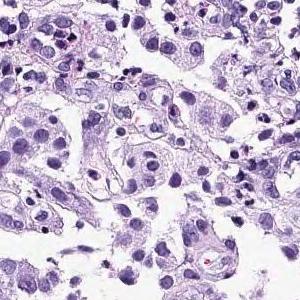
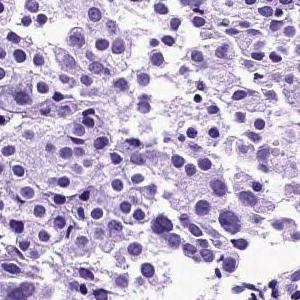
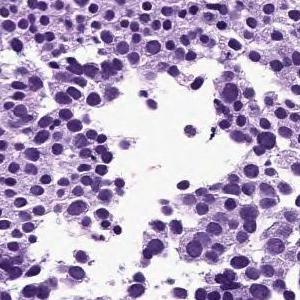
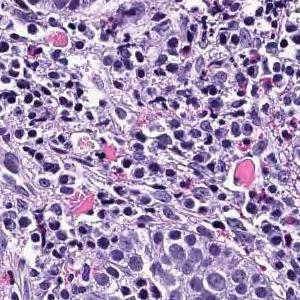
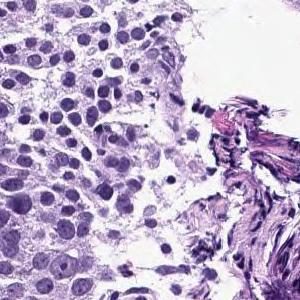
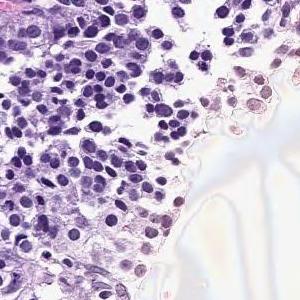
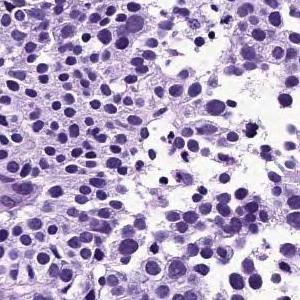
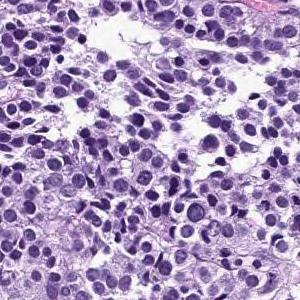
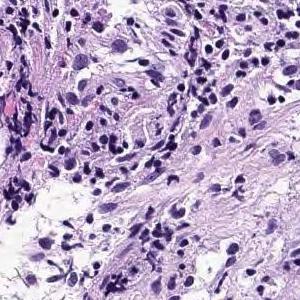
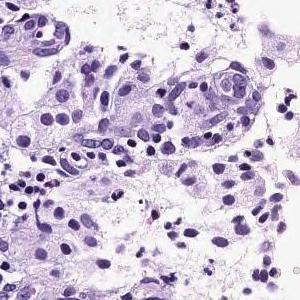
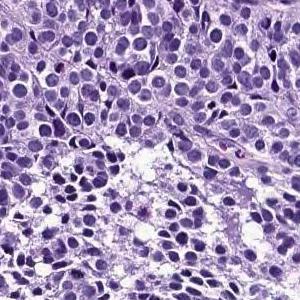
×20 · H&E stain · 11 tiles from the same stomach biopsy slide.
Diagnostic report for the slide these tiles come from. Both the report and the diagnosis are for the whole slide: these tiles need not show every feature named, and some of the tissue shown may not be tumor.
Large sheet-like or diffusely infiltrating tumor tissue is found in the superficial epithelium. Poorly differentiated adenocarcinoma, solid-type
Tumor subtype: poorly differentiated adenocarcinoma, solid type (Japanese Classification of Gastric Carcinoma). The WHO 2019 equivalent is tubular adenocarcinoma, poorly differentiated.
